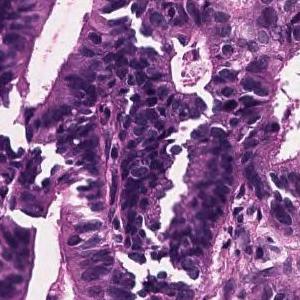
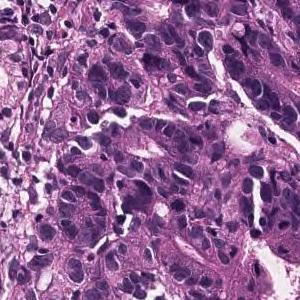
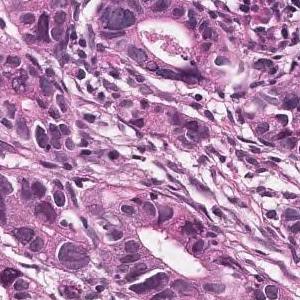
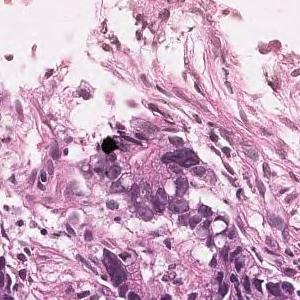
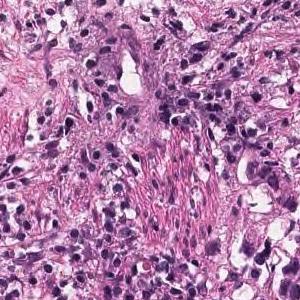
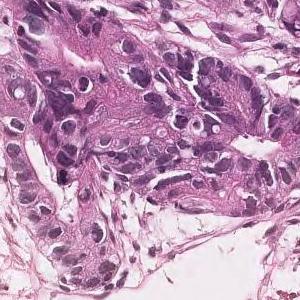
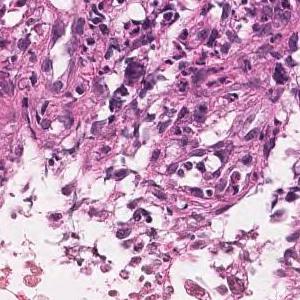
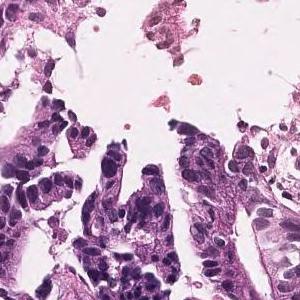
8 tiles cut from one stomach biopsy slide · each 300 × 300 pixels · scanned at ×20 · H&E.
Diagnostic report for the slide these tiles come from. The report and the diagnosis describe the slide as a whole, so these tiles may not show every feature named and may include non-tumor tissue.
In the superficial epithelium, tumor tissue is found in which medium-sized irregular gland ducts fuse with each other and infiltrate. moderately differentiated tubular adenocarcinoma
